8 patches cut from one gastric biopsy slide; 300 × 300 pixels each; H&E; ×20.
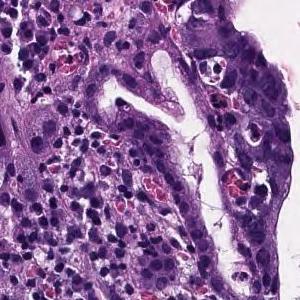
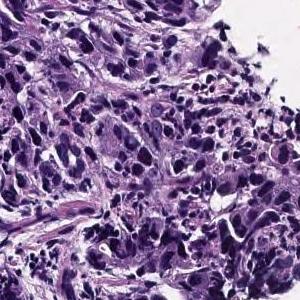
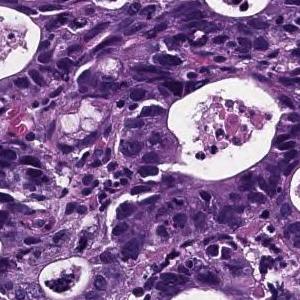
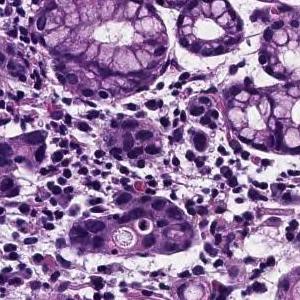
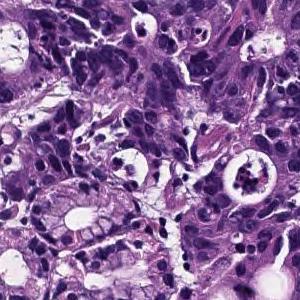
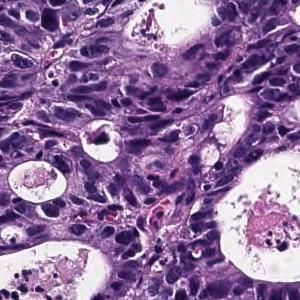
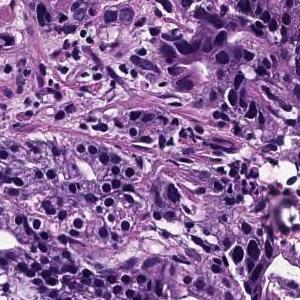
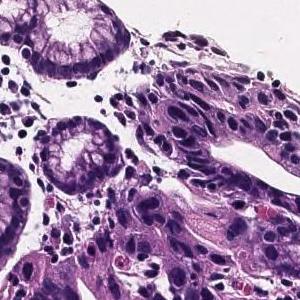
Report on the slide these tiles come from. The report and the diagnosis describe the slide as a whole, so these tiles may not show every feature named and may include non-tumor tissue.
In the superficial epithelium, tumor tissue that invades by forming medium-sized to small, irregular ducts is observed. moderately differentiated tubular adenocarcinoma.
